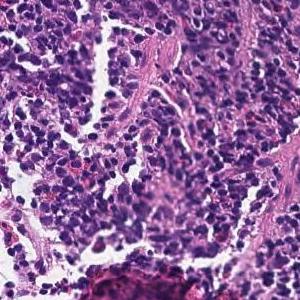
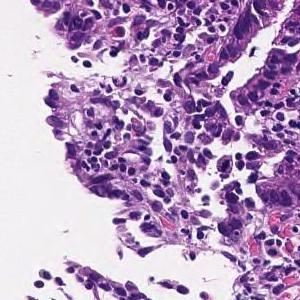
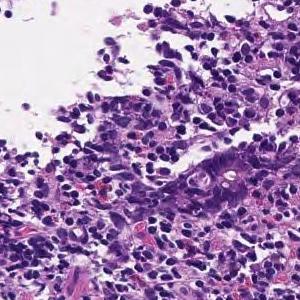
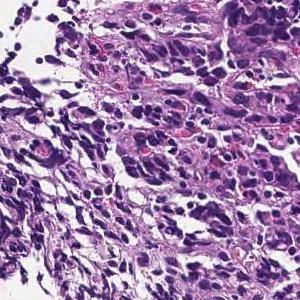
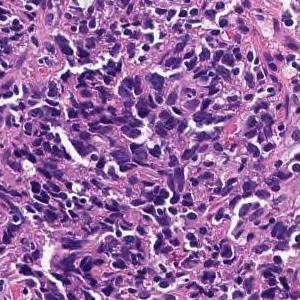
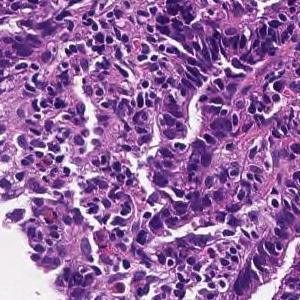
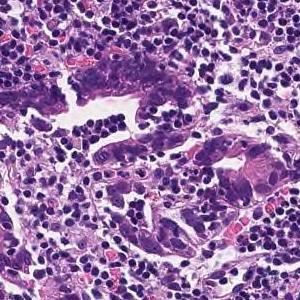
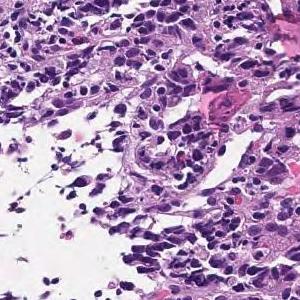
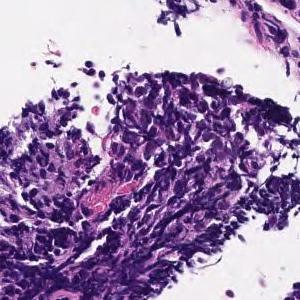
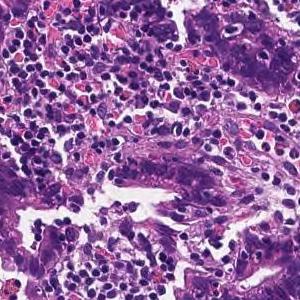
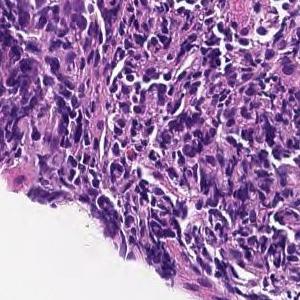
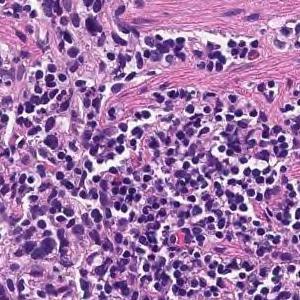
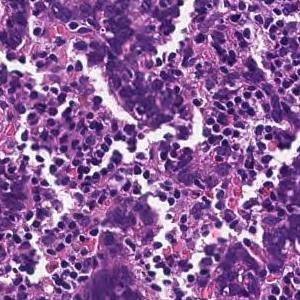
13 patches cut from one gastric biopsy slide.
Pathology report for the biopsy slide these tiles were cut from. The findings and the diagnosis refer to the entire slide; these tiles show only part of it, possibly with non-tumor tissue, and may not show every feature named.
Tumor tissue consisting of medium-sized, cord-like or irregular glandular infiltration is observed in the superficial epithelium. Poorly differentiated adenocarcinoma, non-solid type or moderately differentiated tubular adenocarcinoma
Classified as moderately to poorly differentiated adenocarcinoma.
The non-solid type named here is a Japanese Classification of Gastric Carcinoma category.
